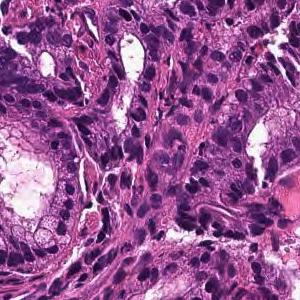
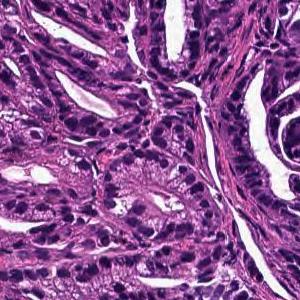
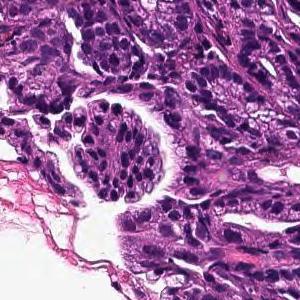
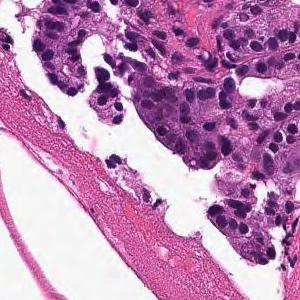
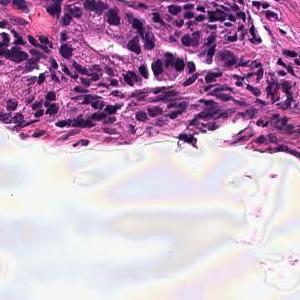
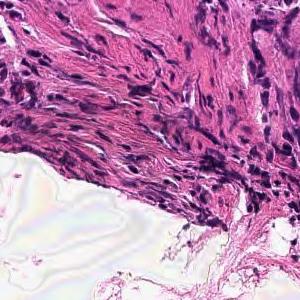
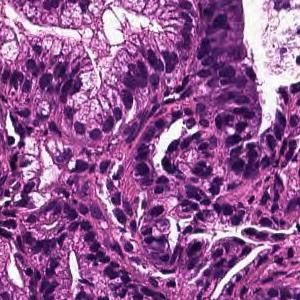
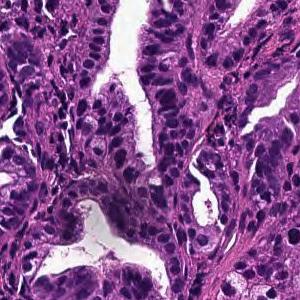
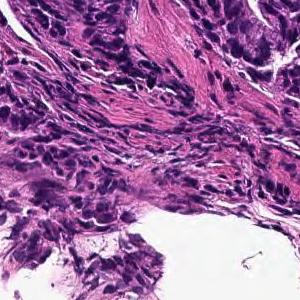
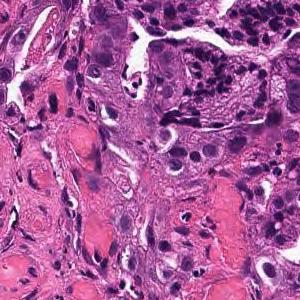
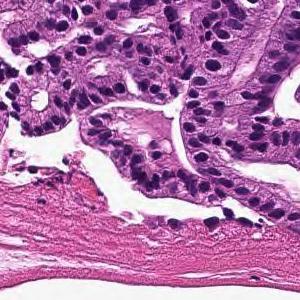
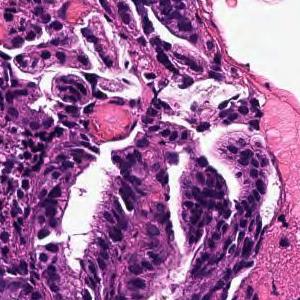
12 image tiles from a single gastric biopsy slide · 300 × 300 pixels each · scanned at ×20.
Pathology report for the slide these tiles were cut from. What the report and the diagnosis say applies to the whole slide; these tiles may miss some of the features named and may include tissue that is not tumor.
From the superficial epithelium to the muscularis mucosae, tumor tissue consisting of medium-sized and irregular glandular ducts infiltrating is observed. Well differentiated tubular adenocarcinoma
